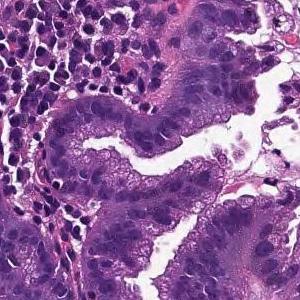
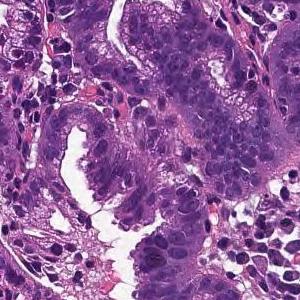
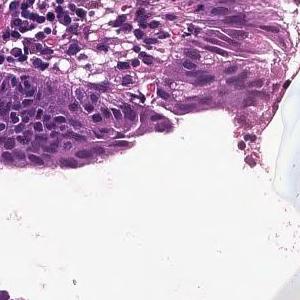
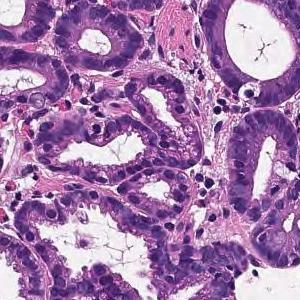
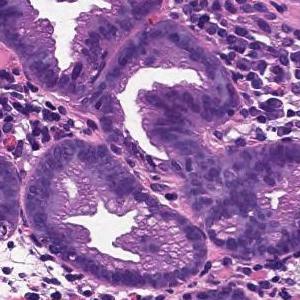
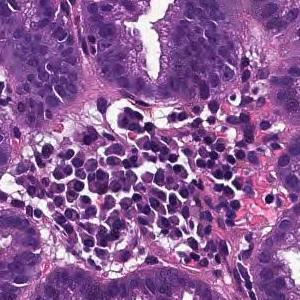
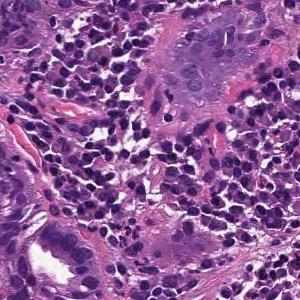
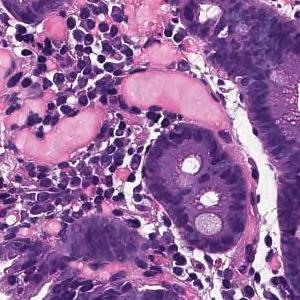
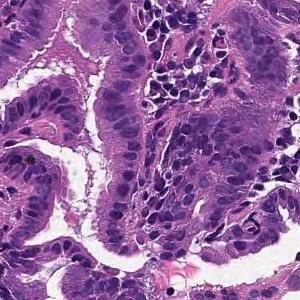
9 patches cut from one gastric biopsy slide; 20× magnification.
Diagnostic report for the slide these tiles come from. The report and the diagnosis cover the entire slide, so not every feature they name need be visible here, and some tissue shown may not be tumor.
From the superficial epithelium to the muscularis mucosae, tumor tissue consisting of medium-sized and irregular glandular ducts infiltrating is observed. Well differentiated tubular adenocarcinoma
